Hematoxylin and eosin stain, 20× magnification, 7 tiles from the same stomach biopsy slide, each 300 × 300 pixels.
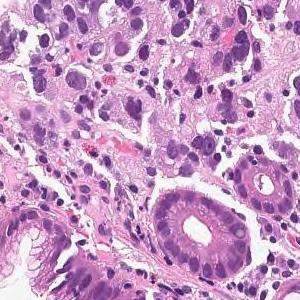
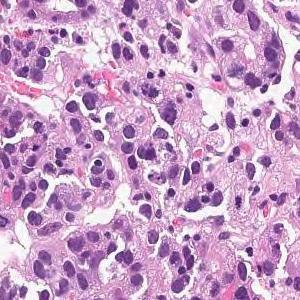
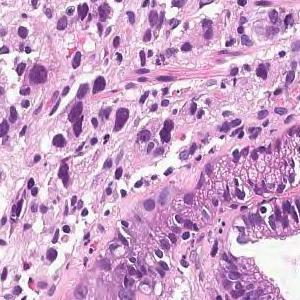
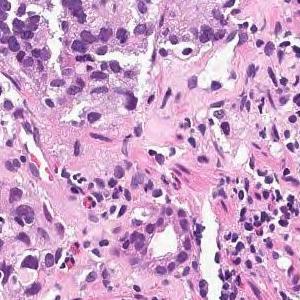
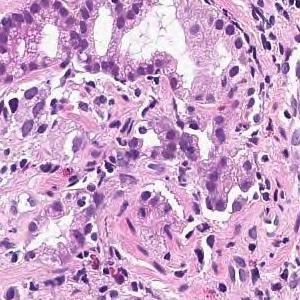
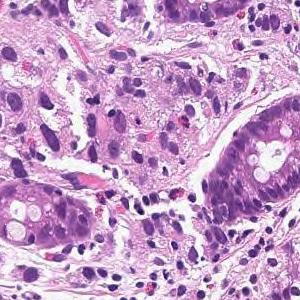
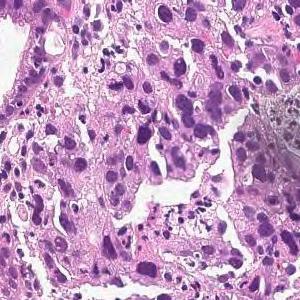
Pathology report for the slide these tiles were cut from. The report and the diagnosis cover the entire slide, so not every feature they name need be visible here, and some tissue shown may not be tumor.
Tumor tissue consisting of medium-sized, cord-like or irregular glandular infiltration is observed in the superficial epithelium. Poorly differentiated adenocarcinoma, non-solid type or moderately differentiated tubular adenocarcinoma (moderately differentiated tubular adenocarcinoma)
Labeled in the dataset as moderately differentiated tubular adenocarcinoma.
The term "non-solid type" comes from the Japanese Classification of Gastric Carcinoma.
